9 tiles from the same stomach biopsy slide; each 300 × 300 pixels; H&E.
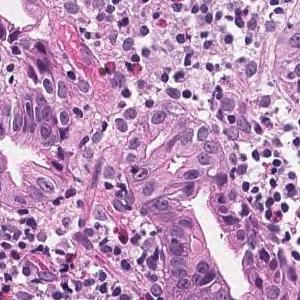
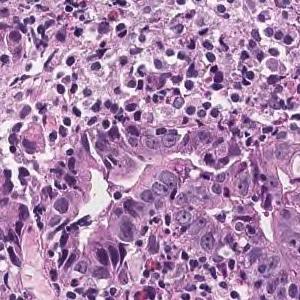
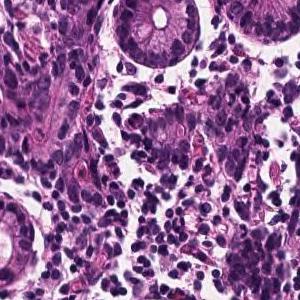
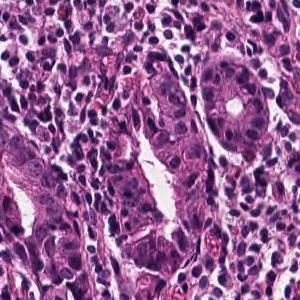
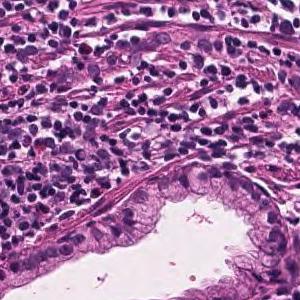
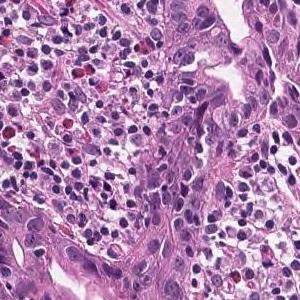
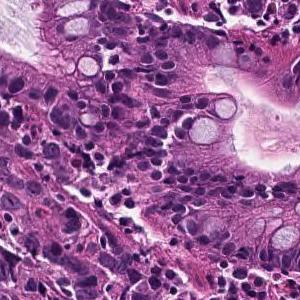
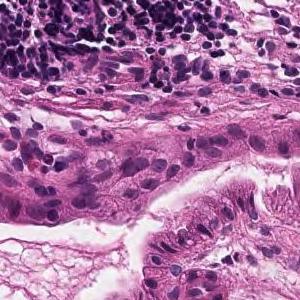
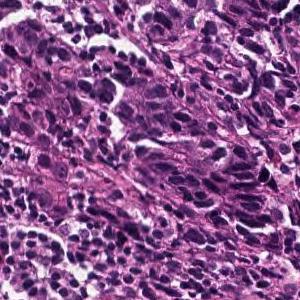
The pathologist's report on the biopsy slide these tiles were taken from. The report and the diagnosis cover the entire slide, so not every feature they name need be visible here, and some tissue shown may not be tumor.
Tumor tissue consisting of medium-sized, cord-like or irregular glandular infiltration is observed in the superficial epithelium. Poorly differentiated adenocarcinoma, non-solid type or moderately differentiated tubular adenocarcinoma
Subtype: Moderately to poorly differentiated adenocarcinoma.
"Non-solid type" is a category of the Japanese Classification of Gastric Carcinoma.
